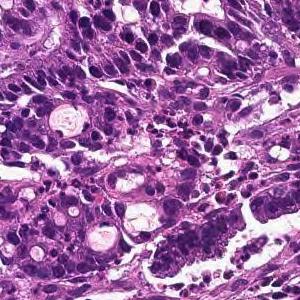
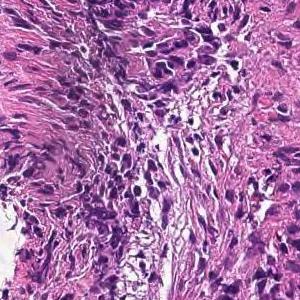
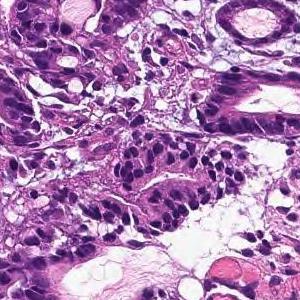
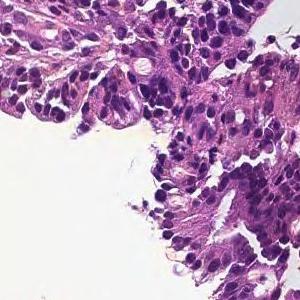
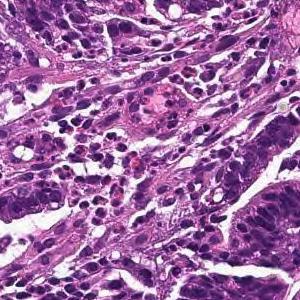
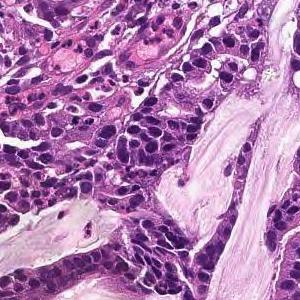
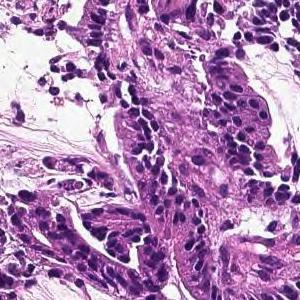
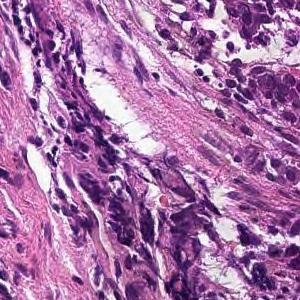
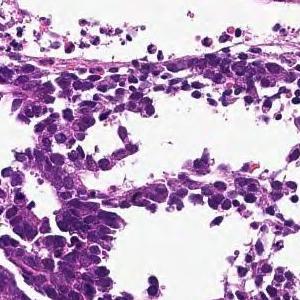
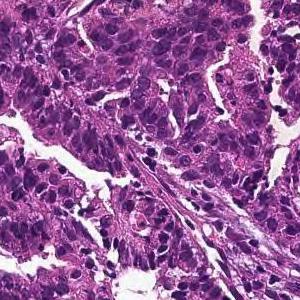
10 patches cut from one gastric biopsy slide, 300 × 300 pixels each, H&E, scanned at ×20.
Pathology report for the biopsy slide these tiles were cut from. What the report and the diagnosis say applies to the whole slide; these tiles may miss some of the features named and may include tissue that is not tumor.
In the superficial epithelium, tumor tissue that invades by forming medium-sized to small, irregular ducts is observed. moderately differentiated tubular adenocarcinoma.
